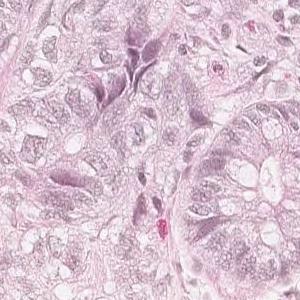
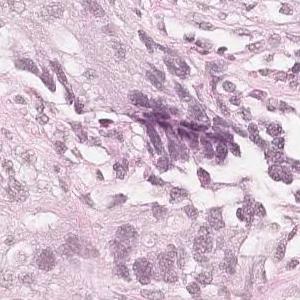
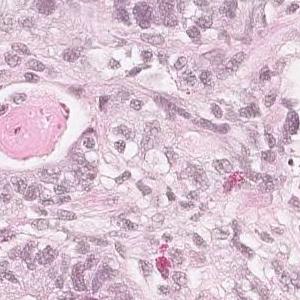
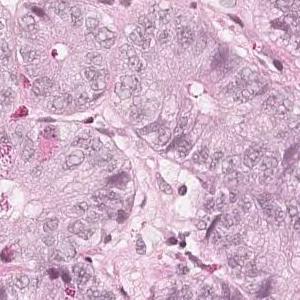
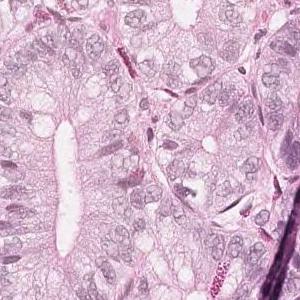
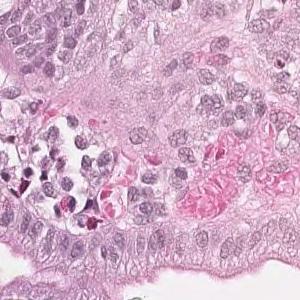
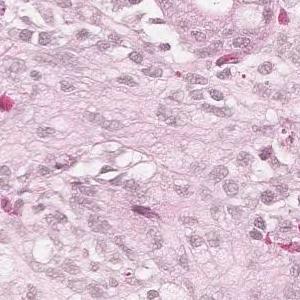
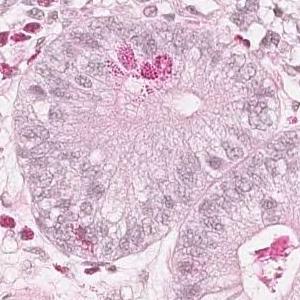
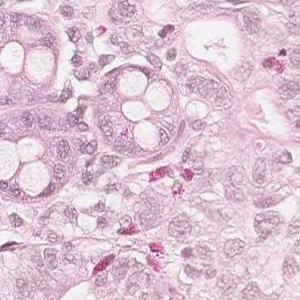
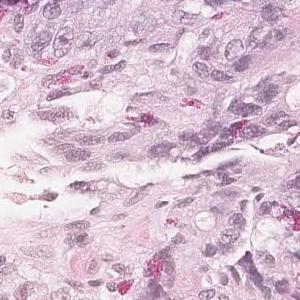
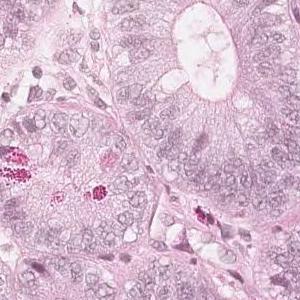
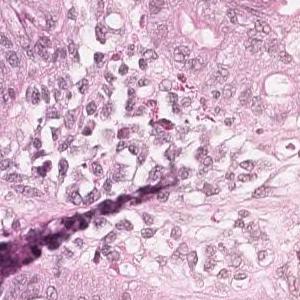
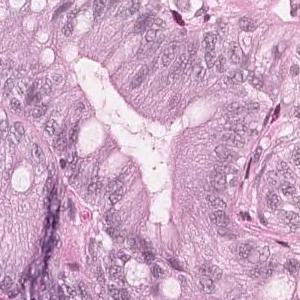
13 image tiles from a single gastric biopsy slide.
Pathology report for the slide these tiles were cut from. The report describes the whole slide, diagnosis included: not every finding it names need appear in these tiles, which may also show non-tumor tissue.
Medium to small, irregular glandular ducts are formed in the superficial epithelium, and in some cases, the glandular ducts are fused to show solid alveolar lesions and infiltrating tumor tissue is observed. Moderately to poorly differentiated adenocarcinoma.
